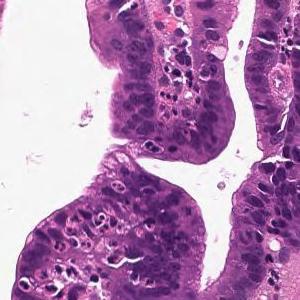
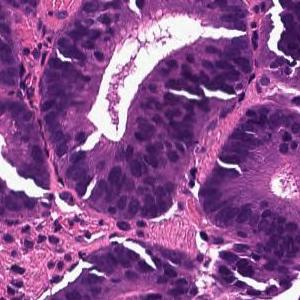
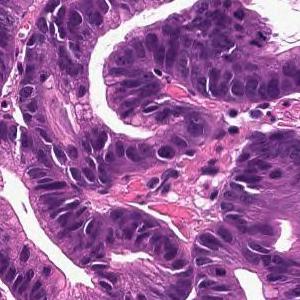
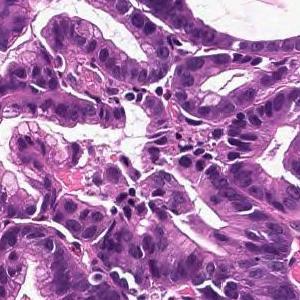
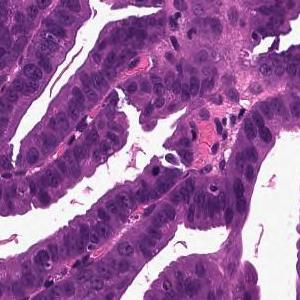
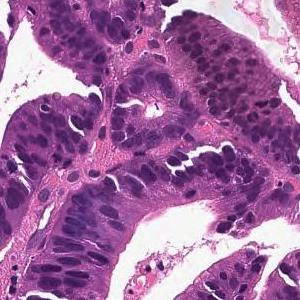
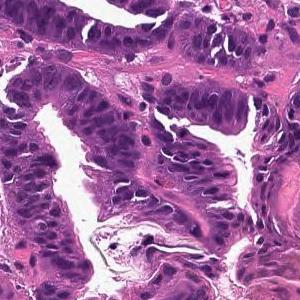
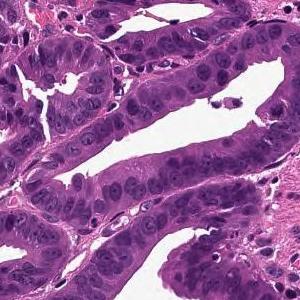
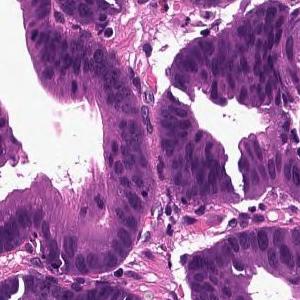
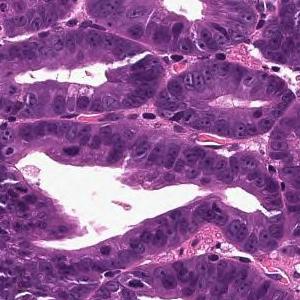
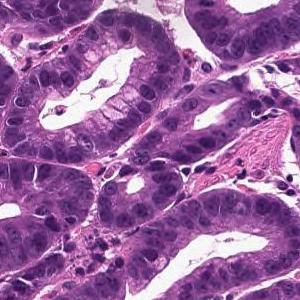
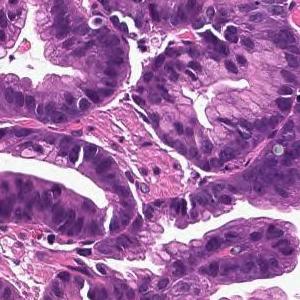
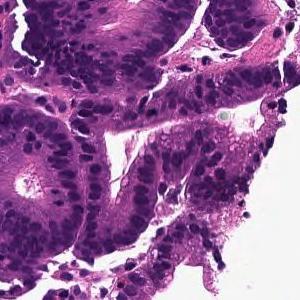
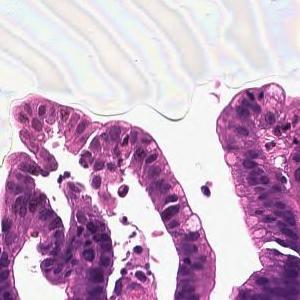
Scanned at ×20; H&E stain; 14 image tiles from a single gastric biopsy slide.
Pathology report for the slide these tiles were cut from. Both the report and the diagnosis are for the whole slide: these tiles need not show every feature named, and some of the tissue shown may not be tumor.
From the superficial epithelium to the muscularis mucosae, tumor tissue consisting of medium-sized and irregular glandular ducts infiltrating is observed. Well differentiated tubular adenocarcinoma
